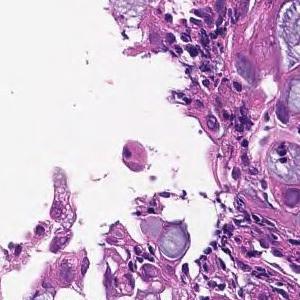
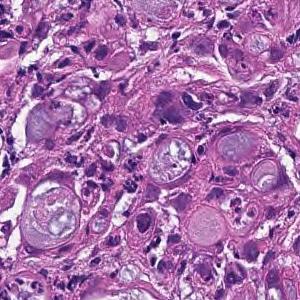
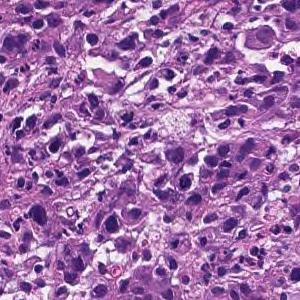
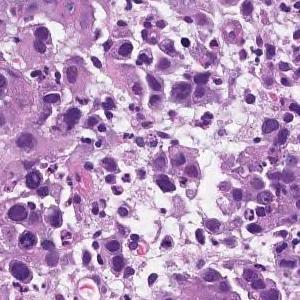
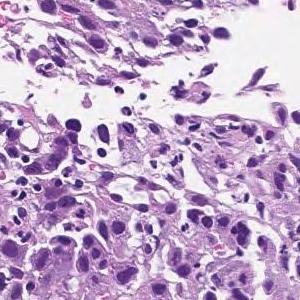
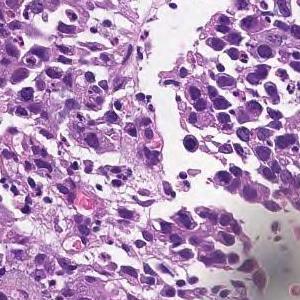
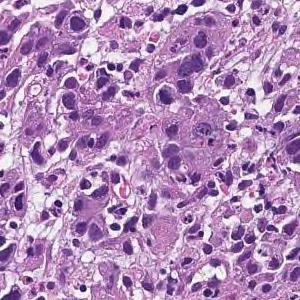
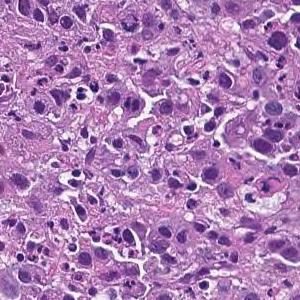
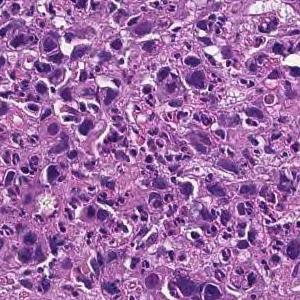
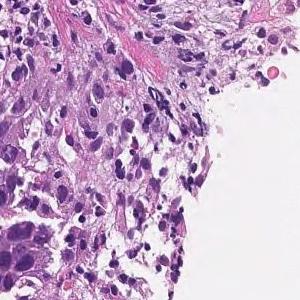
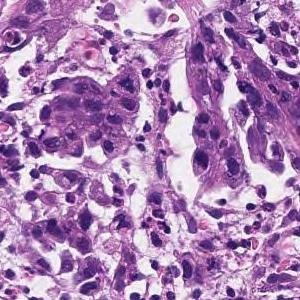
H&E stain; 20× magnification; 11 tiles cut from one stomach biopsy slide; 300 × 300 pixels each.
The pathologist's report on the biopsy slide these tiles were taken from. The findings and the diagnosis refer to the entire slide; these tiles show only part of it, possibly with non-tumor tissue, and may not show every feature named.
The superficial epithelium shows a large sheet-like shape, and some tumor tissue infiltrates with small irregular ducts. Poorly differentiated adenocarcinoma, solid-type
Tumor subtype: poorly differentiated adenocarcinoma, solid type, a category of the Japanese Classification of Gastric Carcinoma; in the WHO 2019 classification it is tubular adenocarcinoma, poorly differentiated.
